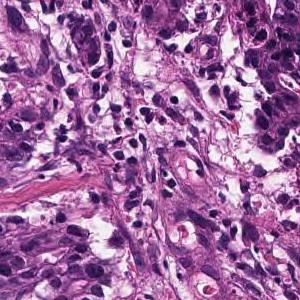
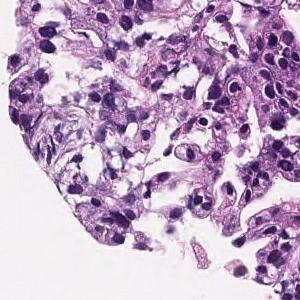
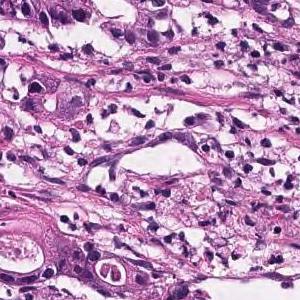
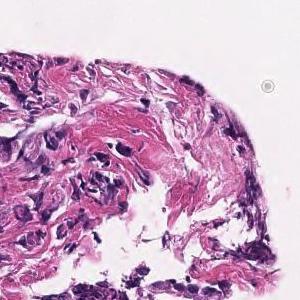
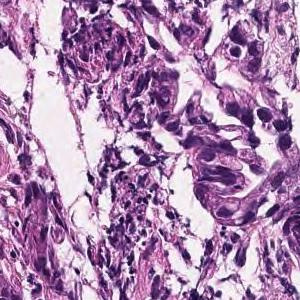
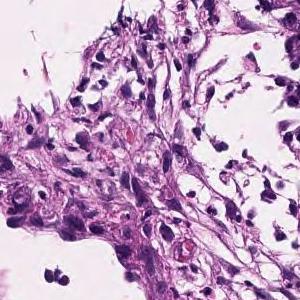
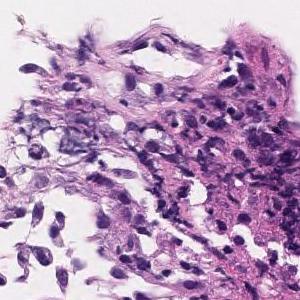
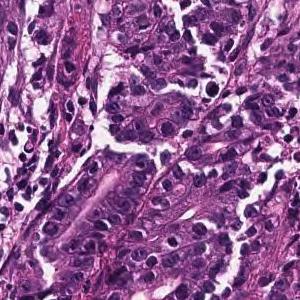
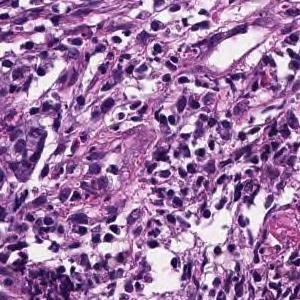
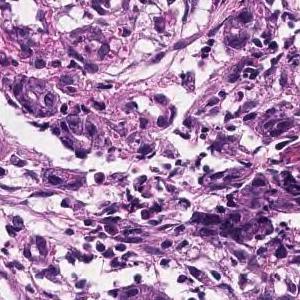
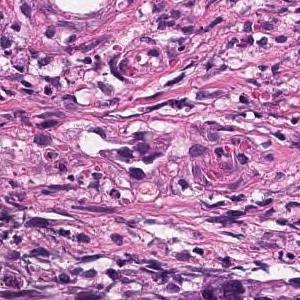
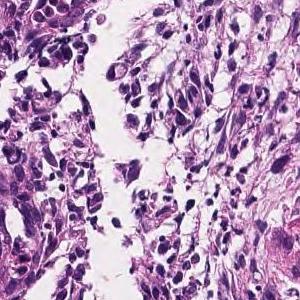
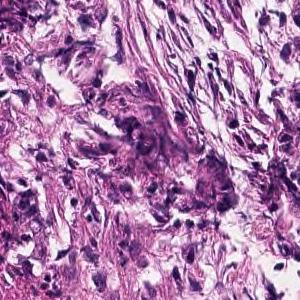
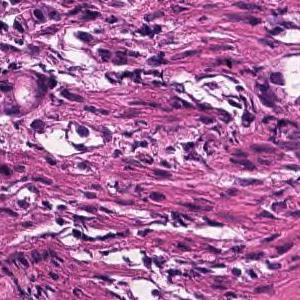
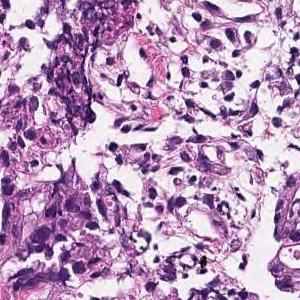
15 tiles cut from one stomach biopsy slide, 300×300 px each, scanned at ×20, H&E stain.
Pathology report for the slide these tiles were cut from. The report and the diagnosis describe the slide as a whole, so these tiles may not show every feature named and may include non-tumor tissue.
In the superficial epithelium, medium to small, irregular gland ducts are formed, and in some cases, the gland ducts are fused to show solid alveolar lesions and infiltrating tumor tissue is observed. Moderately to poorly differentiated adenocarcinoma.
